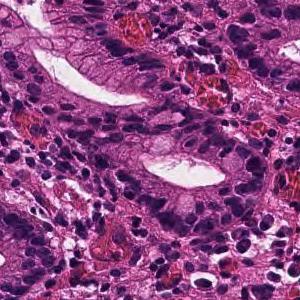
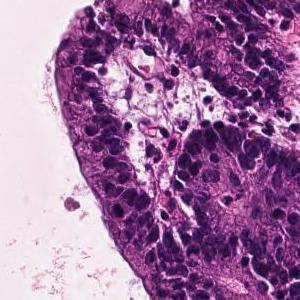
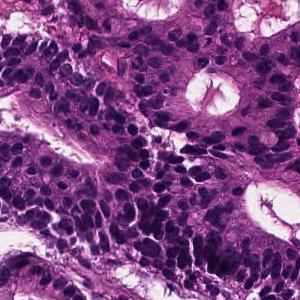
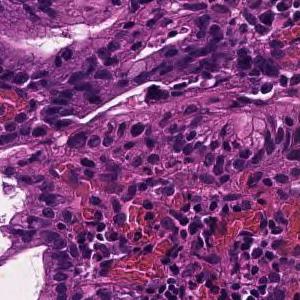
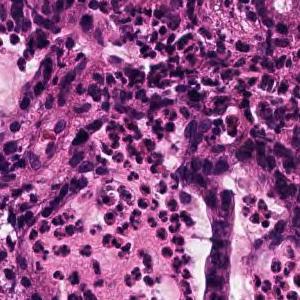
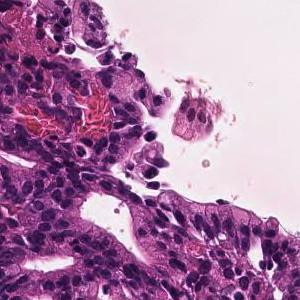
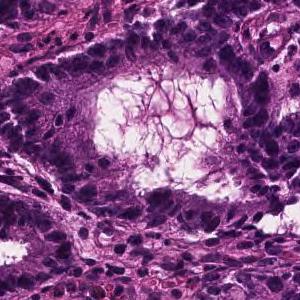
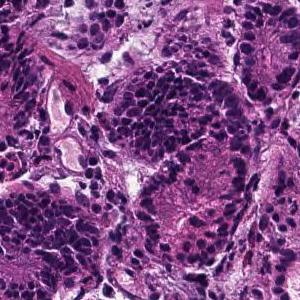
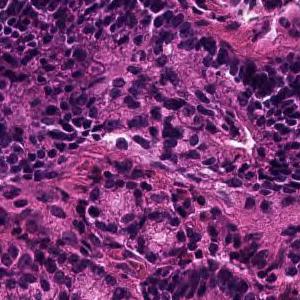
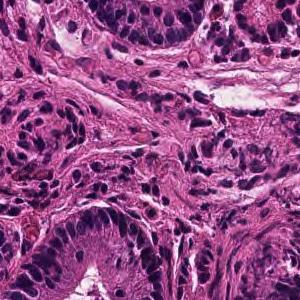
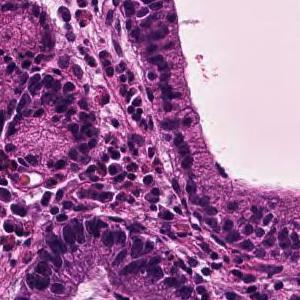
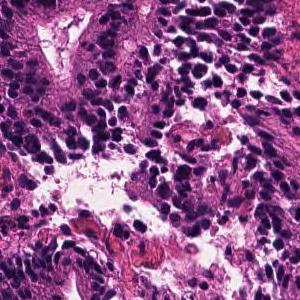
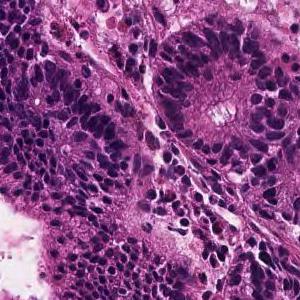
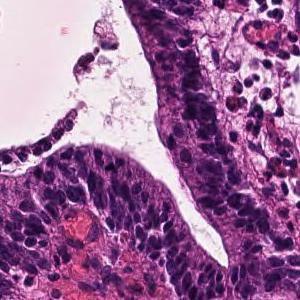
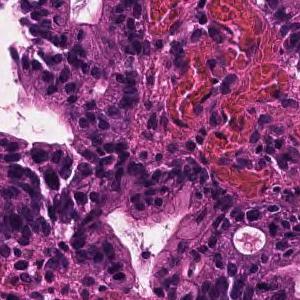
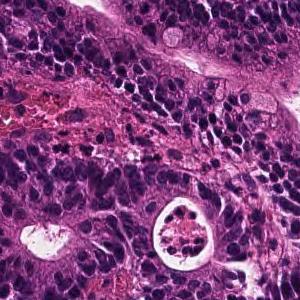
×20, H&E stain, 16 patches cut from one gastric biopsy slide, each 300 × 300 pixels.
Diagnostic report for the slide these tiles come from. What the report and the diagnosis say applies to the whole slide; these tiles may miss some of the features named and may include tissue that is not tumor.
In the superficial epithelium, tumor tissue that invades by forming medium-sized to small, irregular ducts is observed. moderately differentiated tubular adenocarcinoma.
